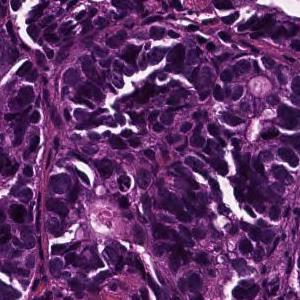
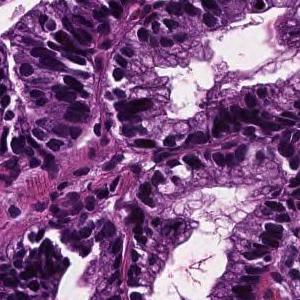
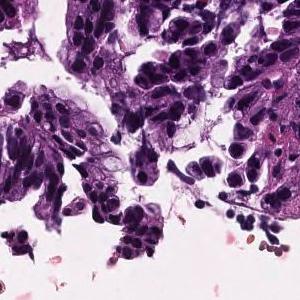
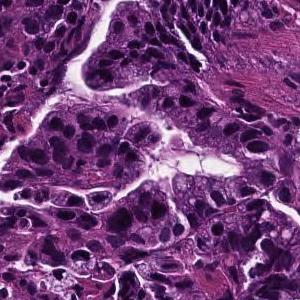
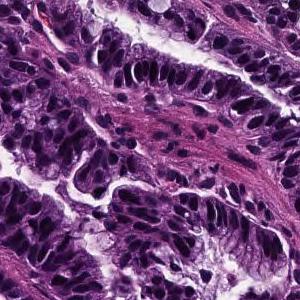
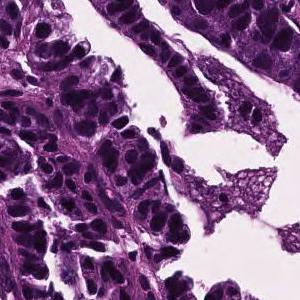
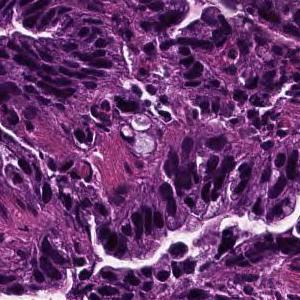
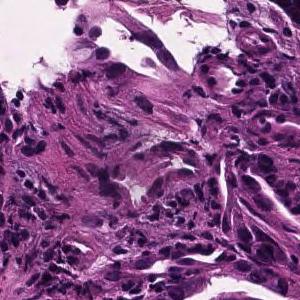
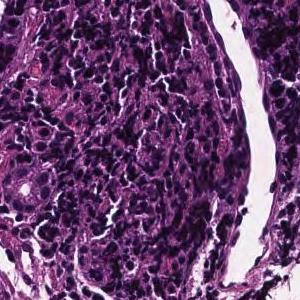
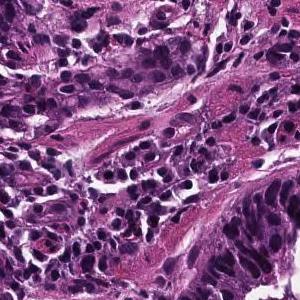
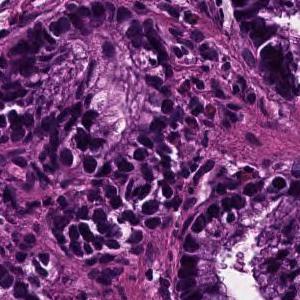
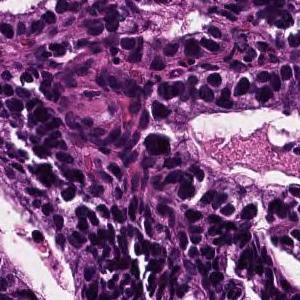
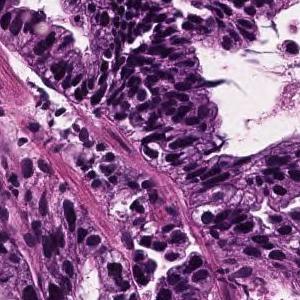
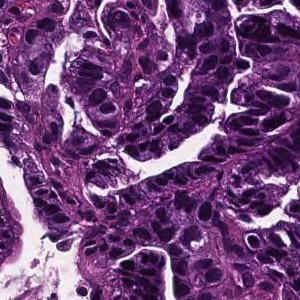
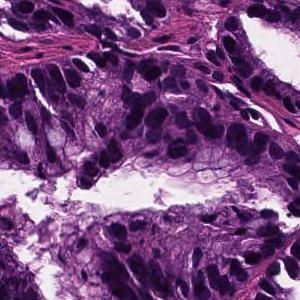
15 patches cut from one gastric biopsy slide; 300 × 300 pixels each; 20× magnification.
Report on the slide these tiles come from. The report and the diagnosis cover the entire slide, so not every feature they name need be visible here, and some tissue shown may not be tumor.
In the superficial epithelium, tumor tissue that invades by forming medium-sized to small, irregular ducts is observed. Well differentiated tubular adenocarcinoma.
